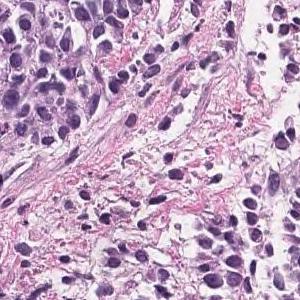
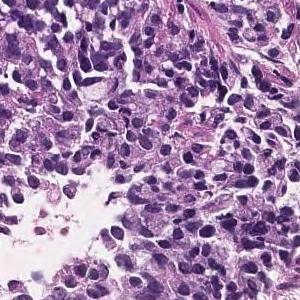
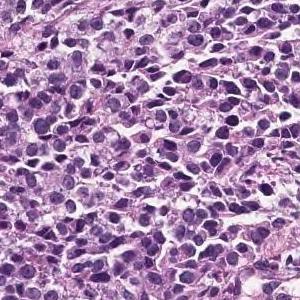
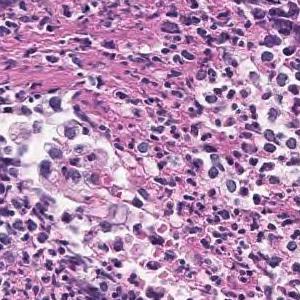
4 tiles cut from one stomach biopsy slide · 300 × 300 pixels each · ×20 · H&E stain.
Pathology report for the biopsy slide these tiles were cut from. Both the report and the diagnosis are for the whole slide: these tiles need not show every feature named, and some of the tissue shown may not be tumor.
The superficial epithelium shows a large sheet-like shape, and some tumor tissue infiltrates with small irregular ducts. Poorly differentiated adenocarcinoma, solid-type
Subtype: Poorly differentiated adenocarcinoma, solid type, a category of the Japanese Classification of Gastric Carcinoma; in the WHO 2019 classification it is tubular adenocarcinoma, poorly differentiated.
